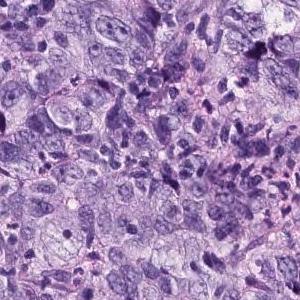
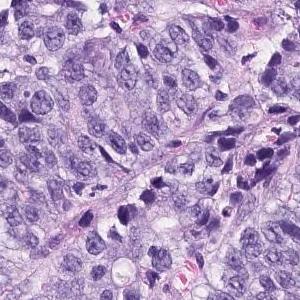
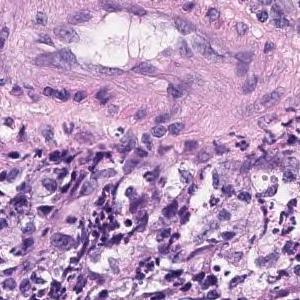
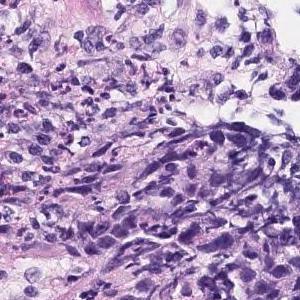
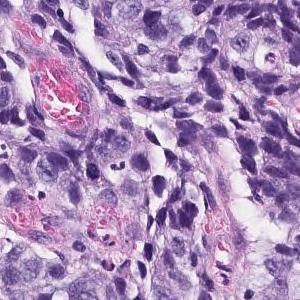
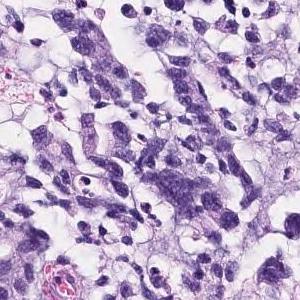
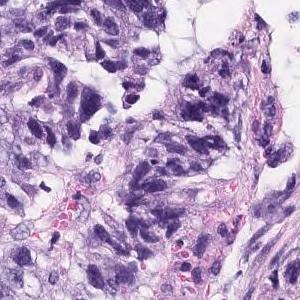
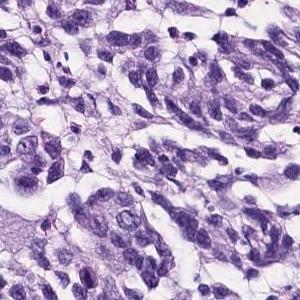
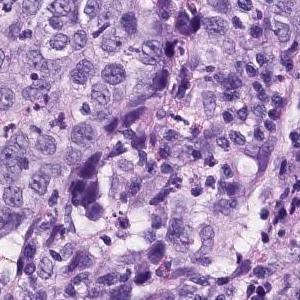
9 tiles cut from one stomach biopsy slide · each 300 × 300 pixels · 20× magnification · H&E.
Report on the slide these tiles come from. Both the report and the diagnosis are for the whole slide: these tiles need not show every feature named, and some of the tissue shown may not be tumor.
The superficial epithelium shows a large sheet-like shape, and some tumor tissue infiltrates with small irregular ducts. Poorly differentiated adenocarcinoma, solid-type
Classified as poorly differentiated adenocarcinoma, solid type (Japanese Classification of Gastric Carcinoma). The WHO 2019 equivalent is tubular adenocarcinoma, poorly differentiated.
